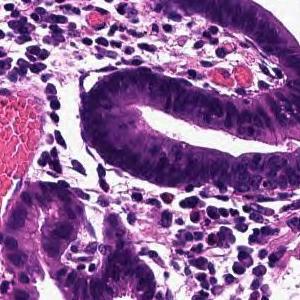
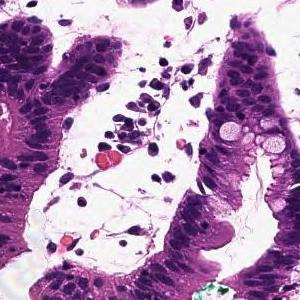
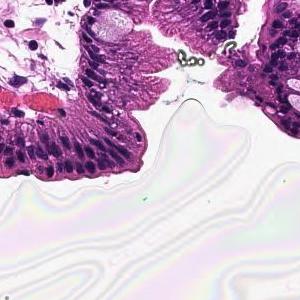
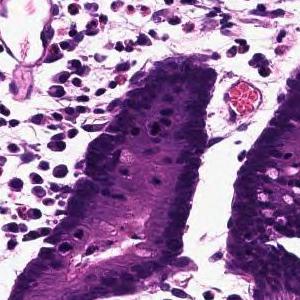
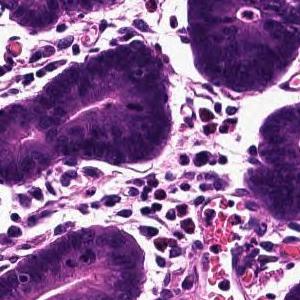
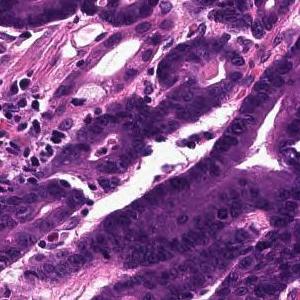
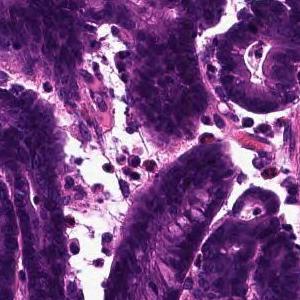
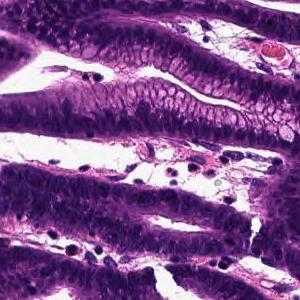
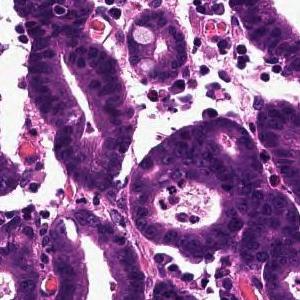
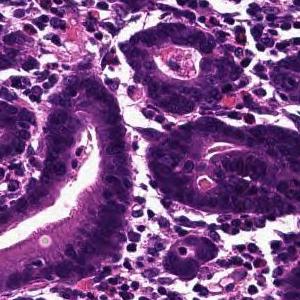
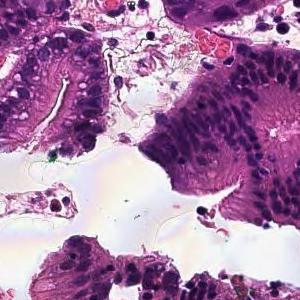
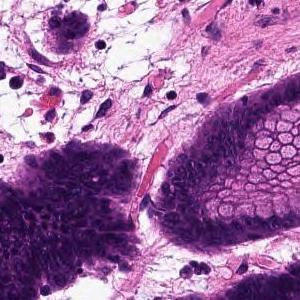
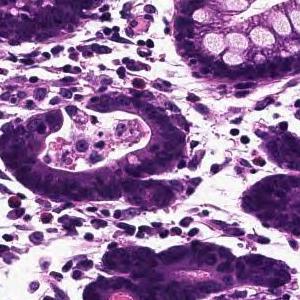
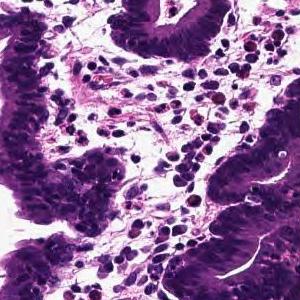
20× magnification · 14 image tiles from a single gastric biopsy slide.
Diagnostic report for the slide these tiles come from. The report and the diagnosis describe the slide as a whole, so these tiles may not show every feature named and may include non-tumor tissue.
Tumor tissue that infiltrates by forming large papillary or large irregular glandular ducts is observed confined to the mucosa. Papillary adenocarcinoma
